20× magnification; H&E; 6 image tiles from a single gastric biopsy slide; 300 × 300 pixels each.
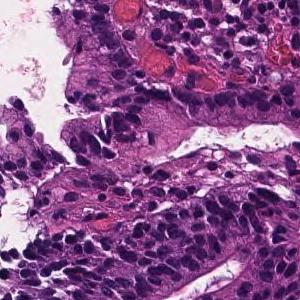
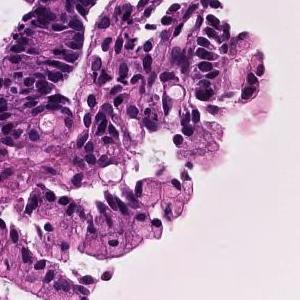
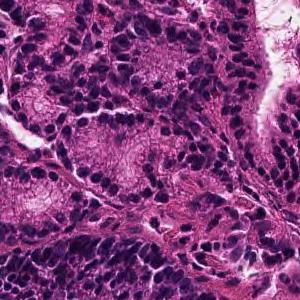
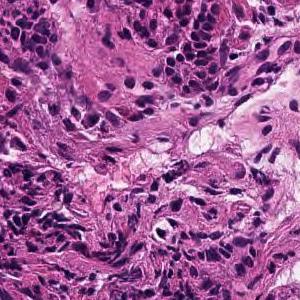
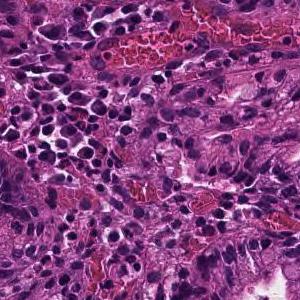
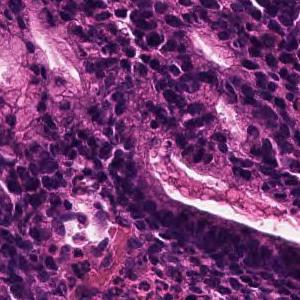
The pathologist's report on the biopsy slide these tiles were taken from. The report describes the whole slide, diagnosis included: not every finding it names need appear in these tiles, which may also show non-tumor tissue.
In the superficial epithelium, tumor tissue that invades by forming medium-sized to small, irregular ducts is observed. moderately differentiated tubular adenocarcinoma.
